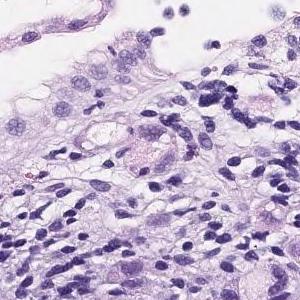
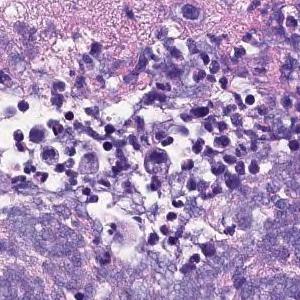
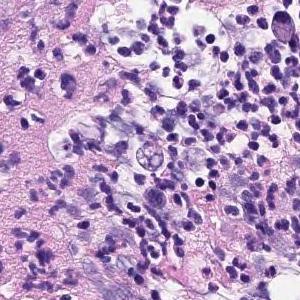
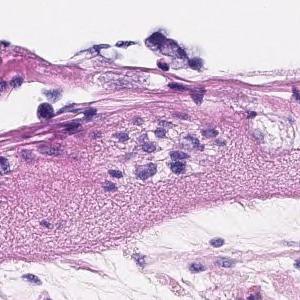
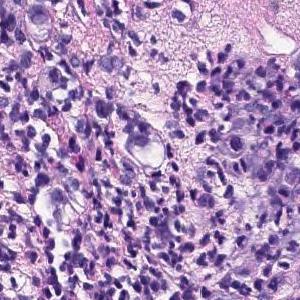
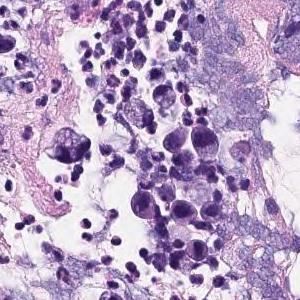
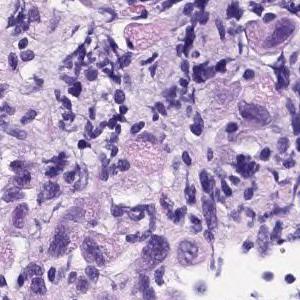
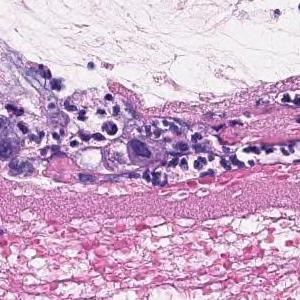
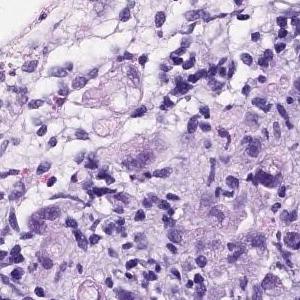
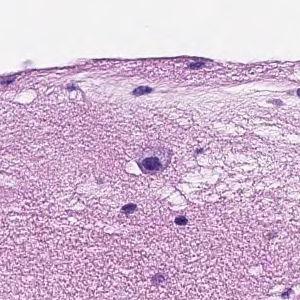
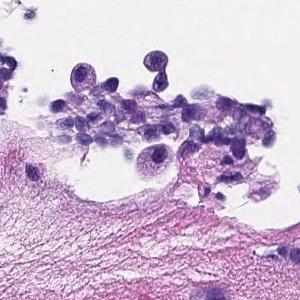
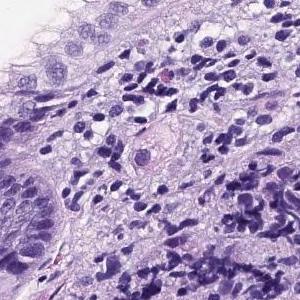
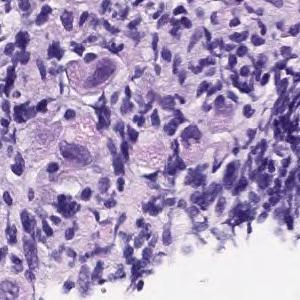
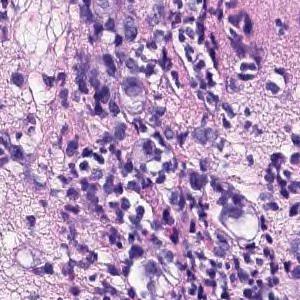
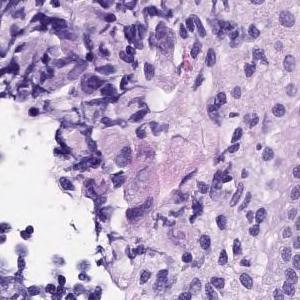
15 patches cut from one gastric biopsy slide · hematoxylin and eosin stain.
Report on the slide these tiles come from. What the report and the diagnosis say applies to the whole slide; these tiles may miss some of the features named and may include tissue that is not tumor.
A large atypical epithelium lacking ductal construction with swelling of the nucleus is seen to proliferate solidly. Poorly differentiated adenocarcinoma.
Tumor subtype: poorly differentiated adenocarcinoma, non-solid type.
The non-solid type named here is a Japanese Classification of Gastric Carcinoma category.
